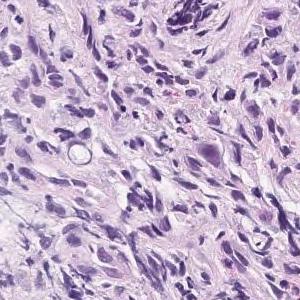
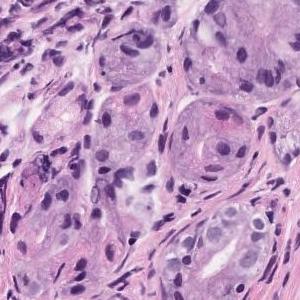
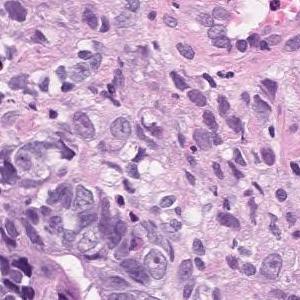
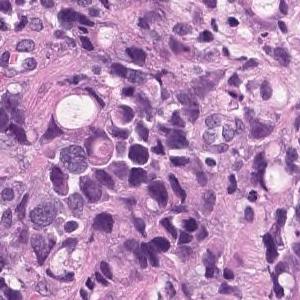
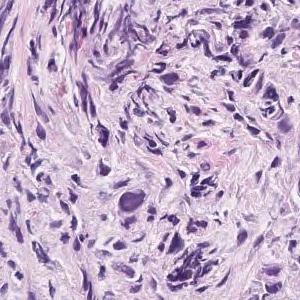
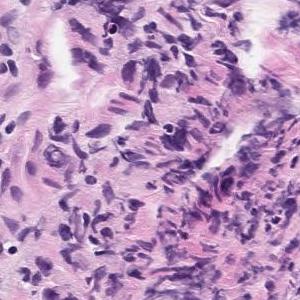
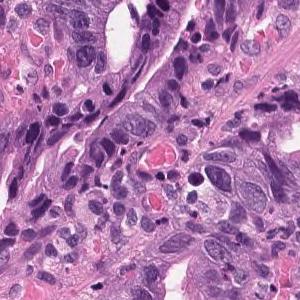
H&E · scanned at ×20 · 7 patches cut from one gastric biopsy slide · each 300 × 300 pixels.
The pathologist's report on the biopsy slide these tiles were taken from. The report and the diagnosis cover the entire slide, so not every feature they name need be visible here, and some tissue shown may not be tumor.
Tumor tissue consisting of medium-sized, cord-like or irregular glandular infiltration is observed in the superficial epithelium. Poorly differentiated adenocarcinoma, non-solid type or moderately differentiated tubular adenocarcinoma
The dataset labels this slide poorly differentiated adenocarcinoma, non-solid type.
"Non-solid type" is a category of the Japanese Classification of Gastric Carcinoma.
